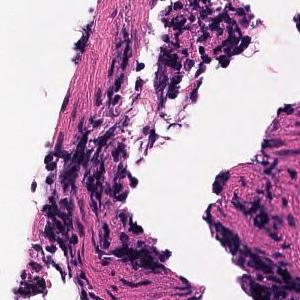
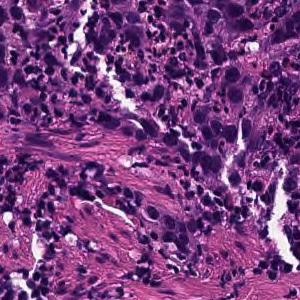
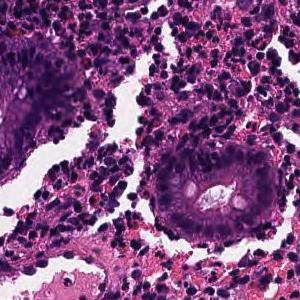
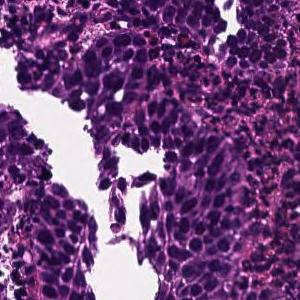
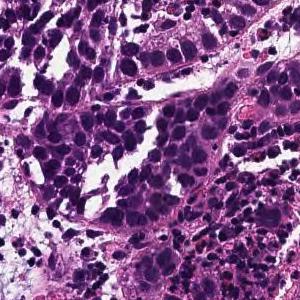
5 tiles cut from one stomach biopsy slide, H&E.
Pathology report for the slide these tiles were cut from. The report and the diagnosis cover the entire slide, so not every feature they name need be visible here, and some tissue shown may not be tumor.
Tumor tissue consisting of cord-like or small, irregular glandular ducts fused and infiltrated is observed in the superficial epithelium. Poorly differentiated adenocarcinoma, non-solid type
"Non-solid type" is a category of the Japanese Classification of Gastric Carcinoma.
